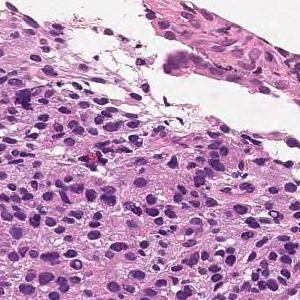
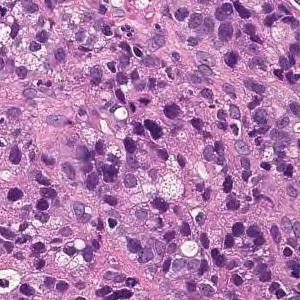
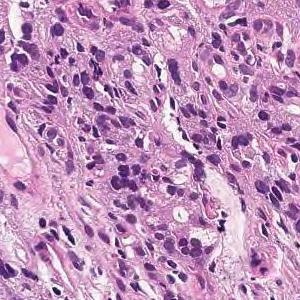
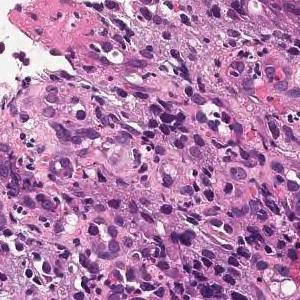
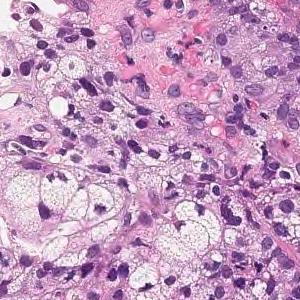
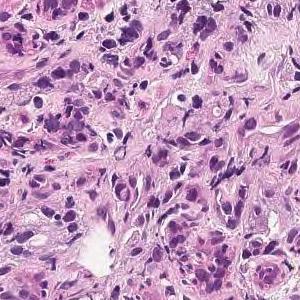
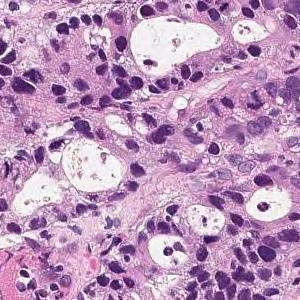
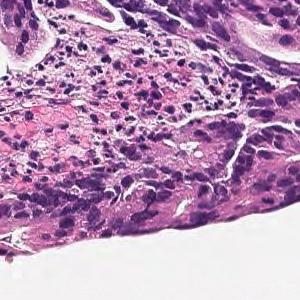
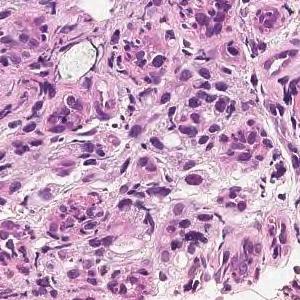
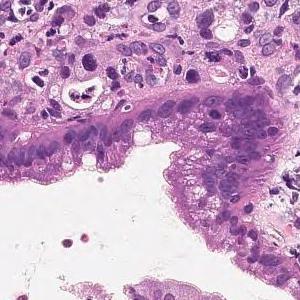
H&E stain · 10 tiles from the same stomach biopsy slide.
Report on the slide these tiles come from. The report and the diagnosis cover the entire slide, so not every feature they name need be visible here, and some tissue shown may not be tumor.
In the superficial epithelium, medium to small irregular gland ducts are formed, and in some cases, the ducts are fused to show solid alveolar lesions and infiltrating tumor tissue is observed. moderately differentiated tubular adenocarcinoma or poorly differentiated adenocarcinoma, solid-type (poorly differentiated adenocarcinoma, solid type)
Labeled in the dataset as poorly differentiated adenocarcinoma, solid type (Japanese Classification of Gastric Carcinoma). The WHO 2019 equivalent is tubular adenocarcinoma, poorly differentiated.
